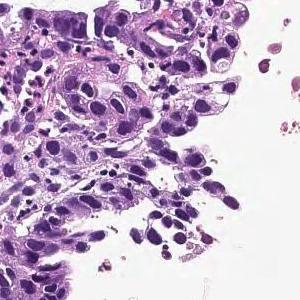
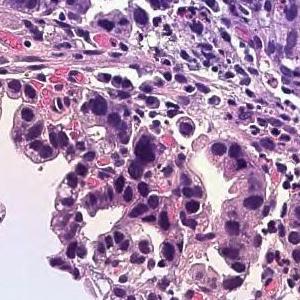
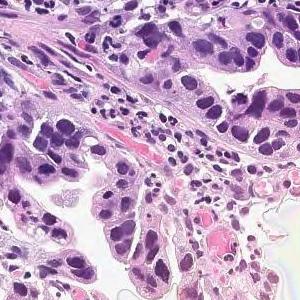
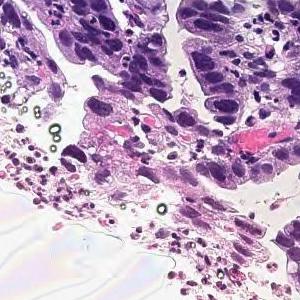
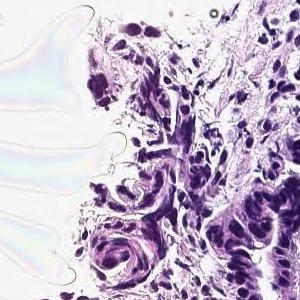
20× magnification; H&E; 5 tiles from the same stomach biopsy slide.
Diagnostic report for the slide these tiles come from. The report and the diagnosis describe the slide as a whole, so these tiles may not show every feature named and may include non-tumor tissue.
On the superficial epithelium, tumor tissue consisting of large irregular glandular ducts partially fused and infiltrated is observed. Well to moderately differentiated tubular adenocarcinoma (well differentiated tubular adenocarcinoma, moderately differentiated tubular adenocarcinoma)
Classified as well to moderately differentiated tubular adenocarcinoma.
